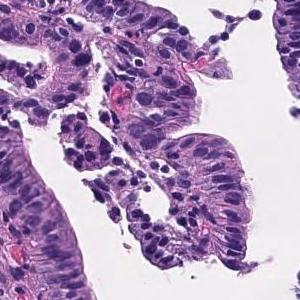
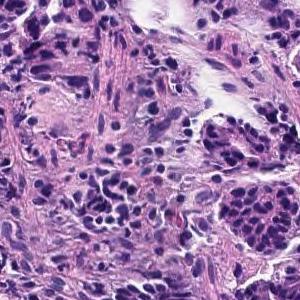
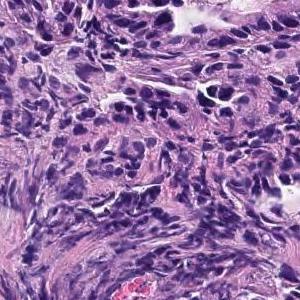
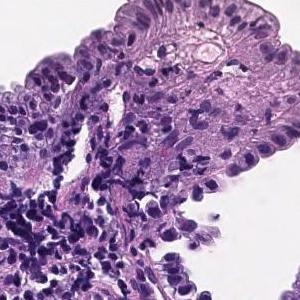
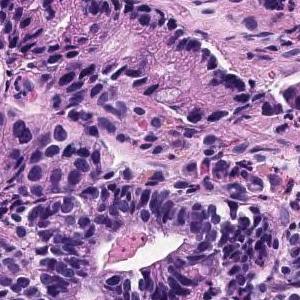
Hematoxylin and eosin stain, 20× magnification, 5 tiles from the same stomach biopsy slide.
Pathology report for the slide these tiles were cut from. The findings and the diagnosis refer to the entire slide; these tiles show only part of it, possibly with non-tumor tissue, and may not show every feature named.
The superficial tumors shows large papillary structures or large and small ducts and infiltrates. Papillary adenocarcinoma.
